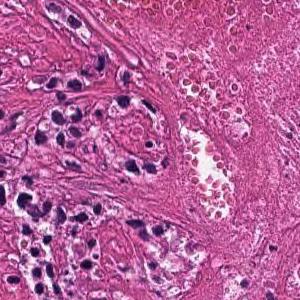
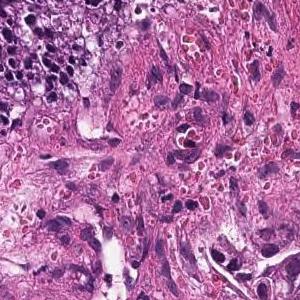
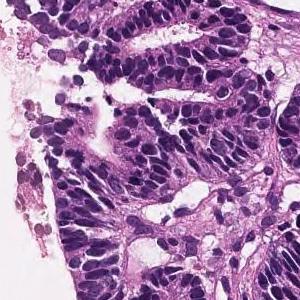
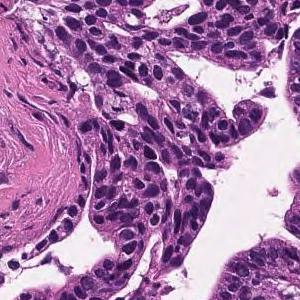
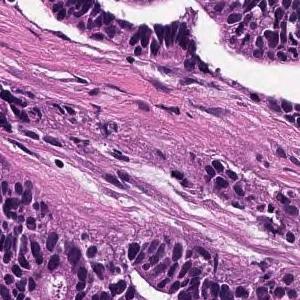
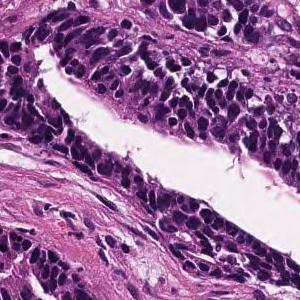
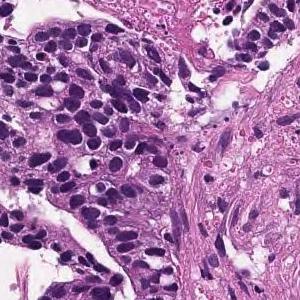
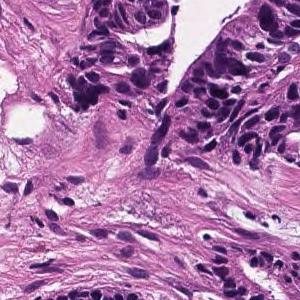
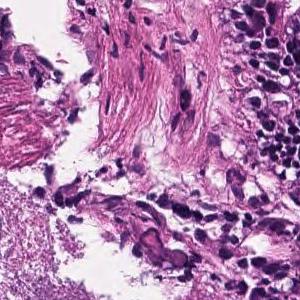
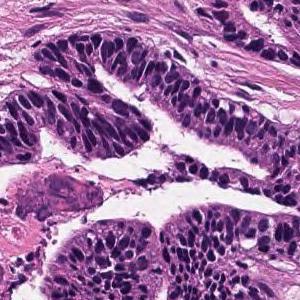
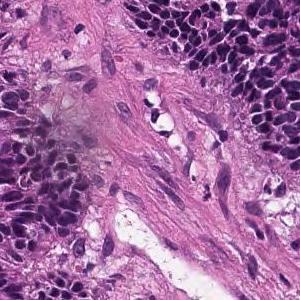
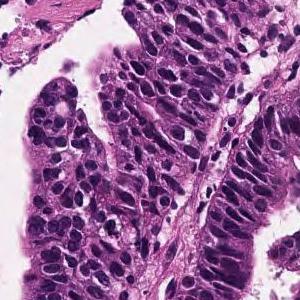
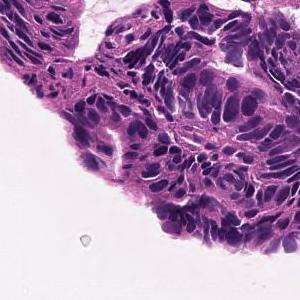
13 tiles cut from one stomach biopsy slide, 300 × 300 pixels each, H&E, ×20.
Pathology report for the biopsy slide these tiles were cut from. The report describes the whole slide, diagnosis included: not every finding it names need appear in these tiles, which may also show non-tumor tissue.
In the superficial epithelium, tumor tissue that invades by forming medium-sized to small, irregular ducts is observed. Well differentiated tubular adenocarcinoma.
